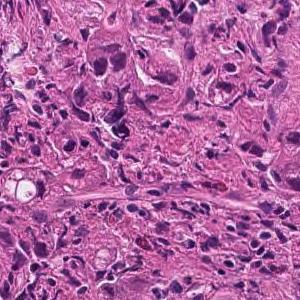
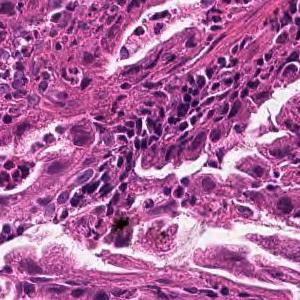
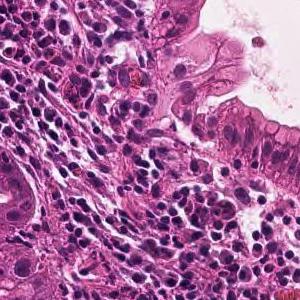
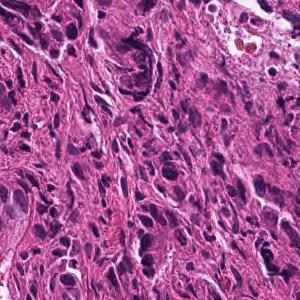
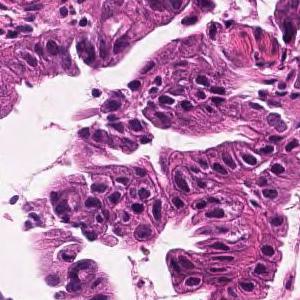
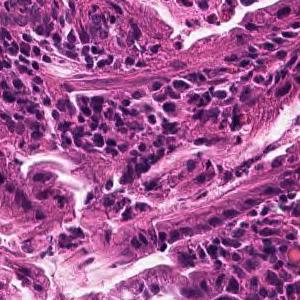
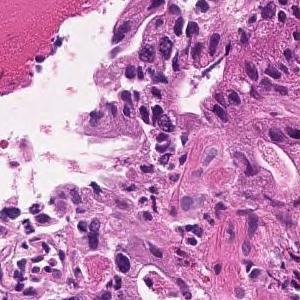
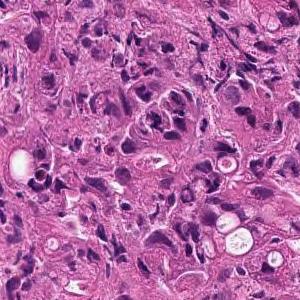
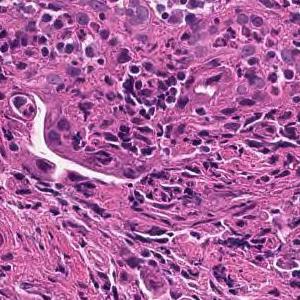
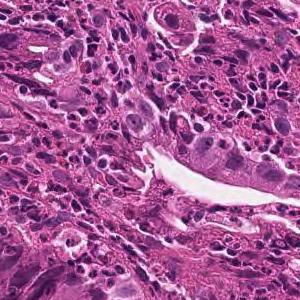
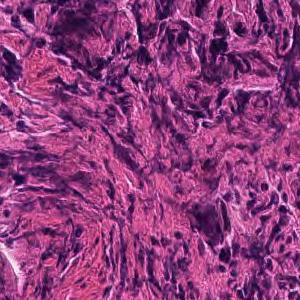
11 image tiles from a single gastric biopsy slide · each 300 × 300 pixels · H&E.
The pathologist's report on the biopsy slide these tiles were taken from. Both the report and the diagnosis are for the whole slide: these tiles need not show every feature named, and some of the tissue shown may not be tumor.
Medium to small, irregular glandular ducts are formed in the superficial epithelium, and in some cases, the glandular ducts are fused to show solid alveolar lesions and infiltrating tumor tissue is observed. Moderately to poorly differentiated adenocarcinoma.
